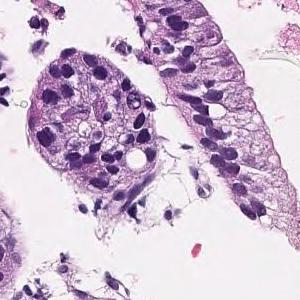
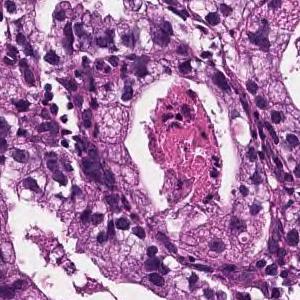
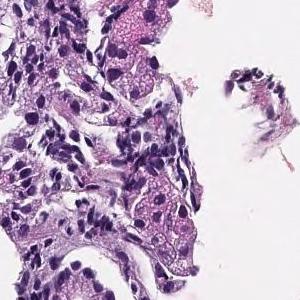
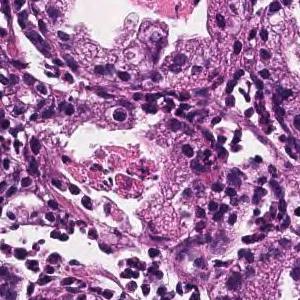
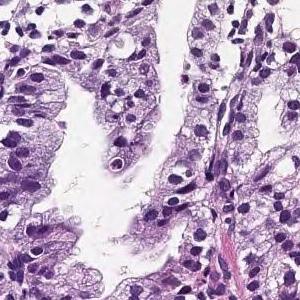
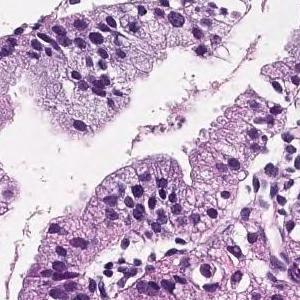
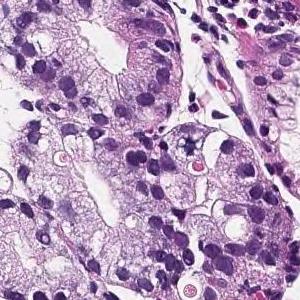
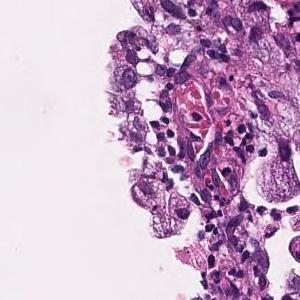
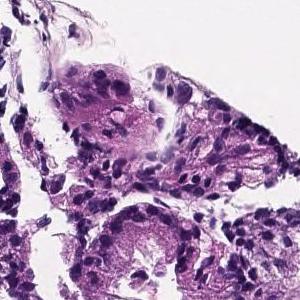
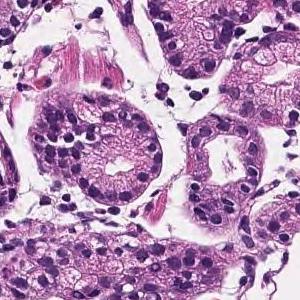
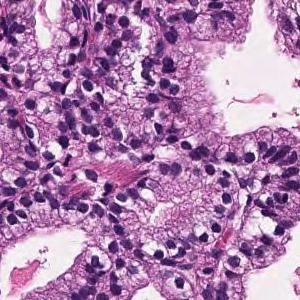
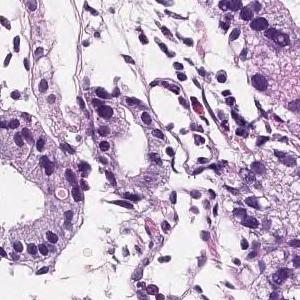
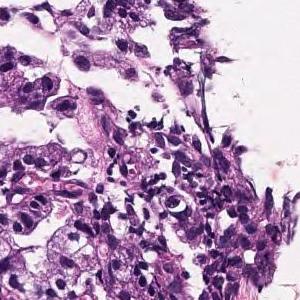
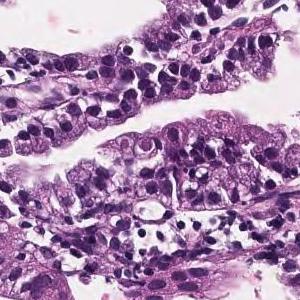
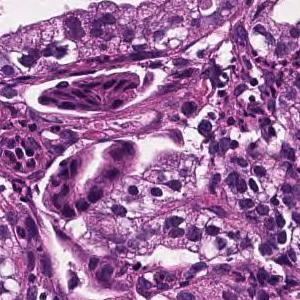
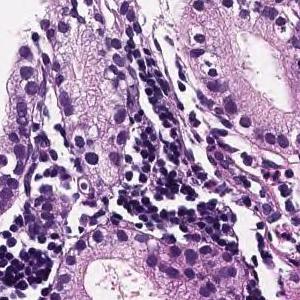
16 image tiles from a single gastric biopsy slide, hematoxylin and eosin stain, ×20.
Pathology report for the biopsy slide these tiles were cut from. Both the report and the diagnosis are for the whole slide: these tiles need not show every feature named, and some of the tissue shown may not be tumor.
In the superficial epithelium, tumor tissue that infiltrates by forming medium-sized papillary or small irregular ducts is observed. Papillary adenocarcinoma
